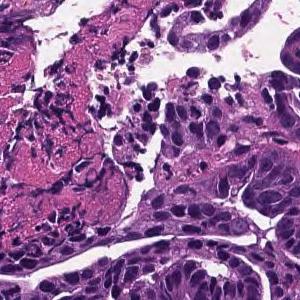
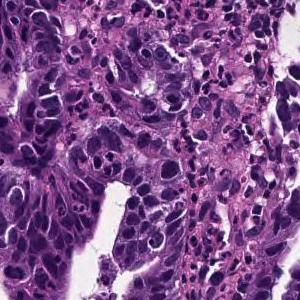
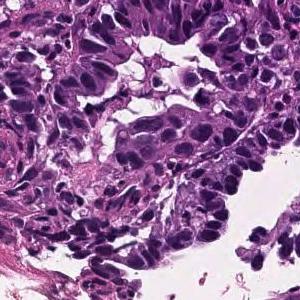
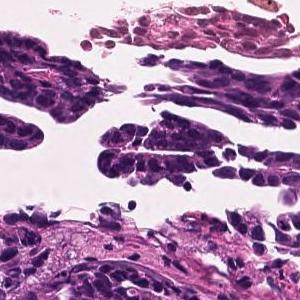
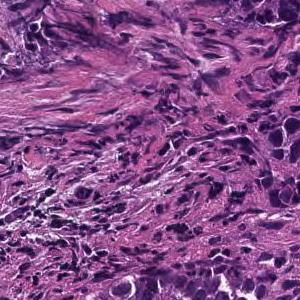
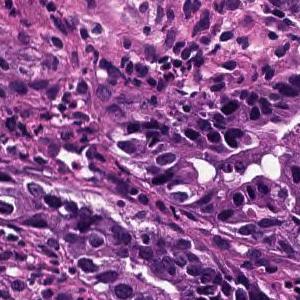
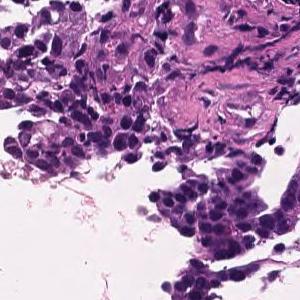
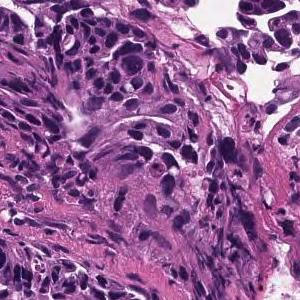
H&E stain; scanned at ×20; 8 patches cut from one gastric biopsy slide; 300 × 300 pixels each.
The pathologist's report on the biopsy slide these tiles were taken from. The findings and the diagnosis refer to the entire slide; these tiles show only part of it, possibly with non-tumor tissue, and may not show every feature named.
Tumor cells are large, highly columnar, large club-shaped nuclei, and are associated with chromatin aggregation. Papillary adenocarcinoma.
